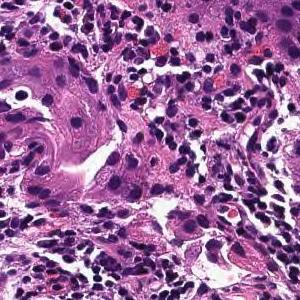
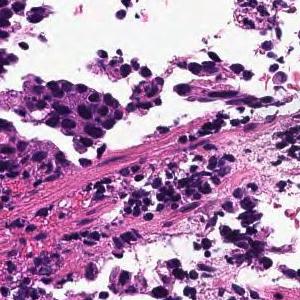
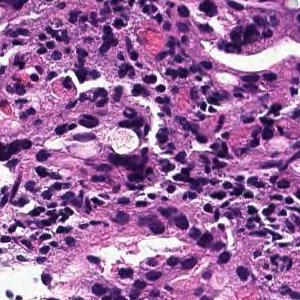
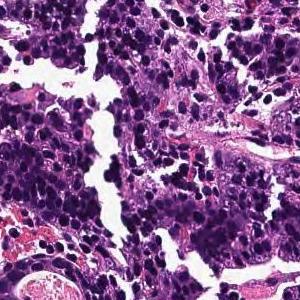
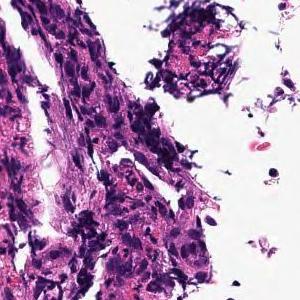
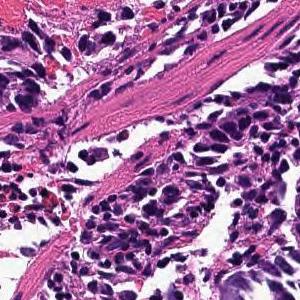
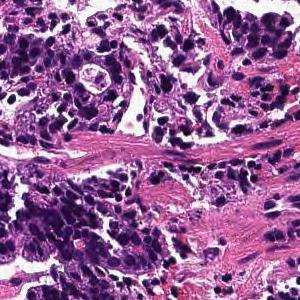
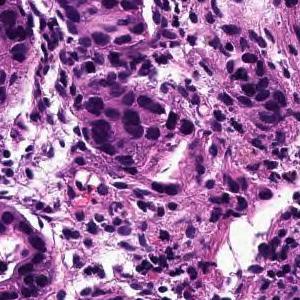
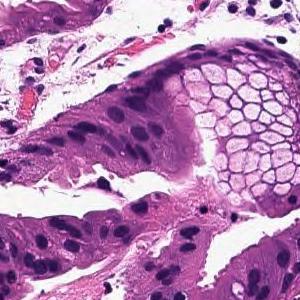
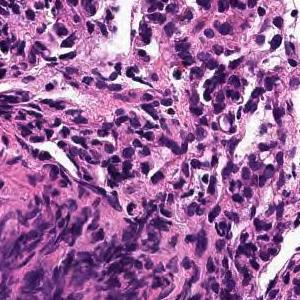
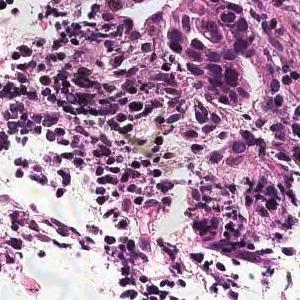
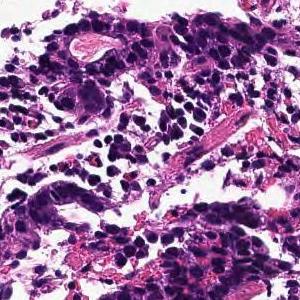
12 patches cut from one gastric biopsy slide · scanned at ×20 · H&E.
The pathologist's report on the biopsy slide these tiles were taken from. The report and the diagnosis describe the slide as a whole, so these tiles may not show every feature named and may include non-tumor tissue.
In the superficial epithelium, tumor tissue that invades by forming medium-sized to small, irregular ducts is observed. moderately differentiated tubular adenocarcinoma.
